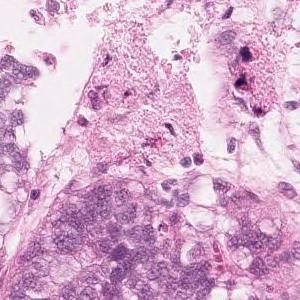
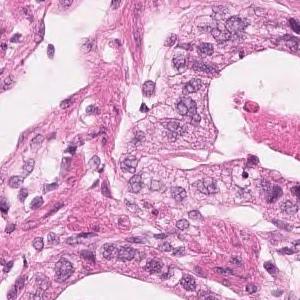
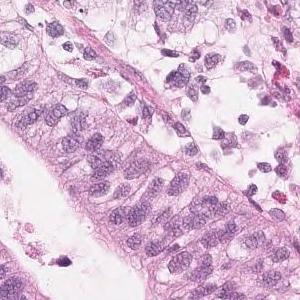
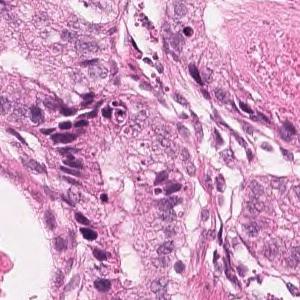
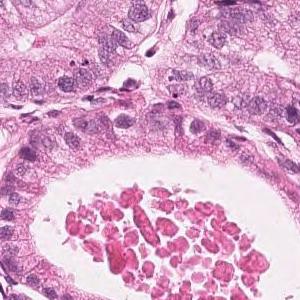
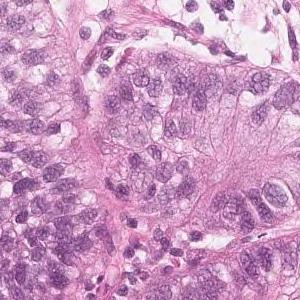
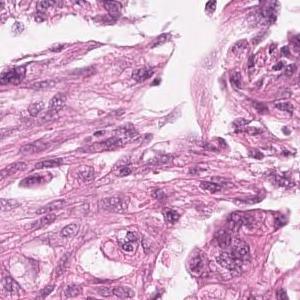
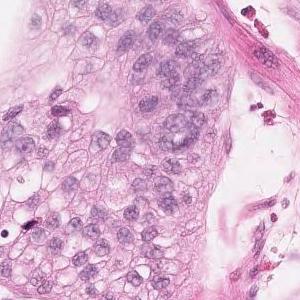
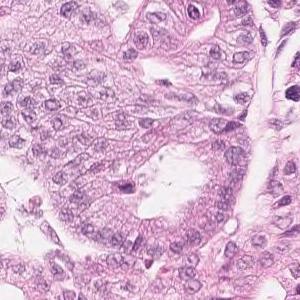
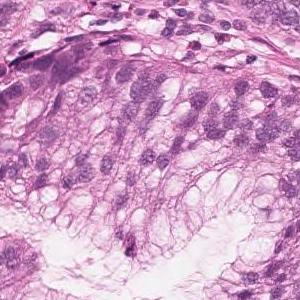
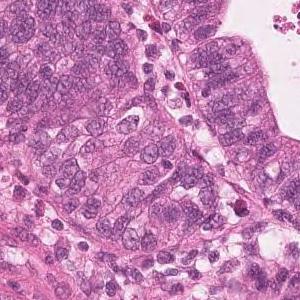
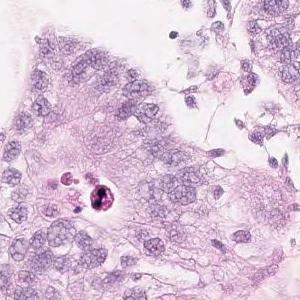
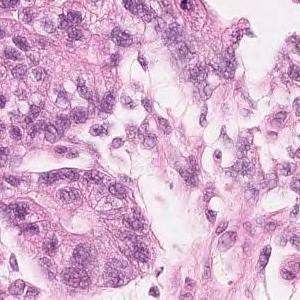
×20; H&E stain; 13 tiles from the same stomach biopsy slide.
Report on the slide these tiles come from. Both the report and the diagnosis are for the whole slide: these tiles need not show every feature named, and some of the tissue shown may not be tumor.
Highly columnar epithelium with disordered nuclear localization proliferates showing fusion ductal construction. moderately differentiated tubular adenocarcinoma
